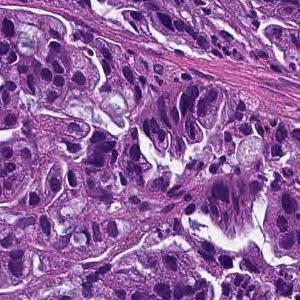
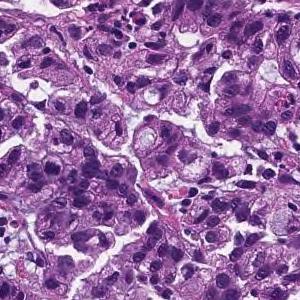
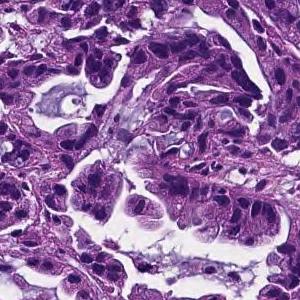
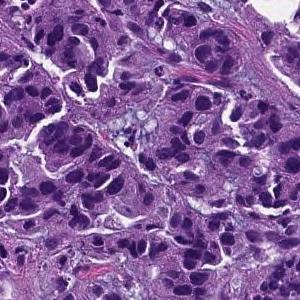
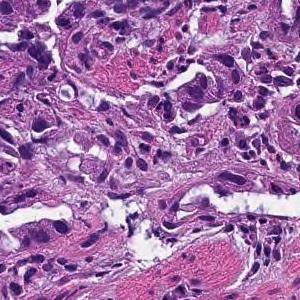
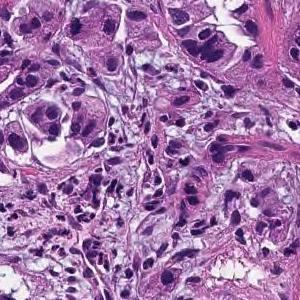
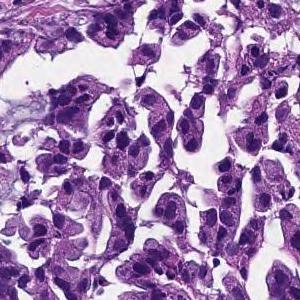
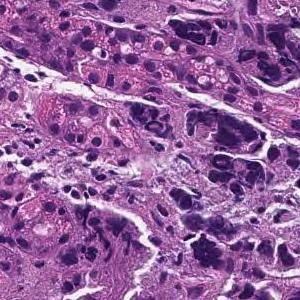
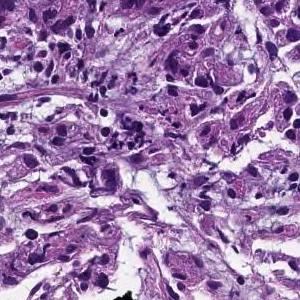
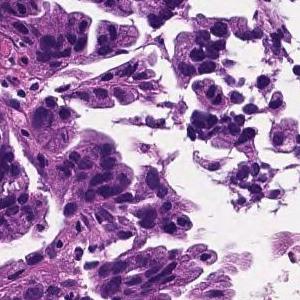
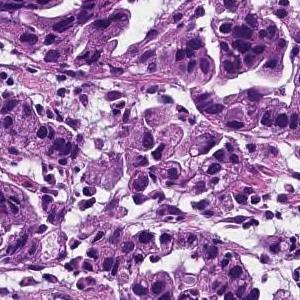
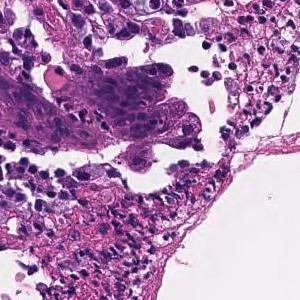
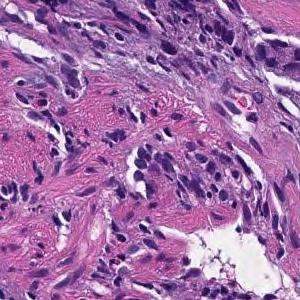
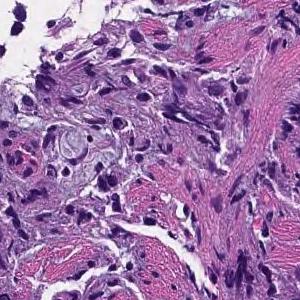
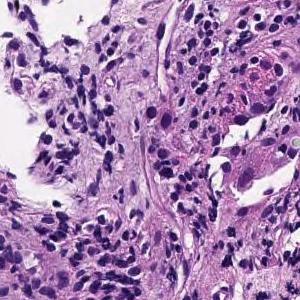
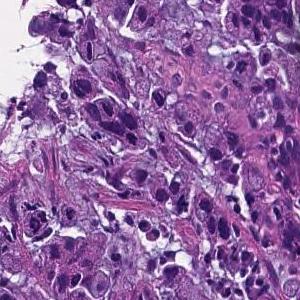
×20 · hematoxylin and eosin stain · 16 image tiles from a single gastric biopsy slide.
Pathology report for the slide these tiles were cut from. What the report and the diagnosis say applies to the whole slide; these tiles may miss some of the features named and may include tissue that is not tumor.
Tumor tissue consisting of medium-sized, cord-like or irregular glandular infiltration is observed in the superficial epithelium. Poorly differentiated adenocarcinoma, non-solid type or moderately differentiated tubular adenocarcinoma
Tumor subtype: moderately to poorly differentiated adenocarcinoma.
The non-solid type named here is a Japanese Classification of Gastric Carcinoma category.
